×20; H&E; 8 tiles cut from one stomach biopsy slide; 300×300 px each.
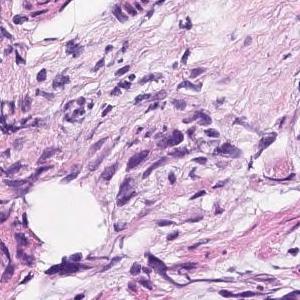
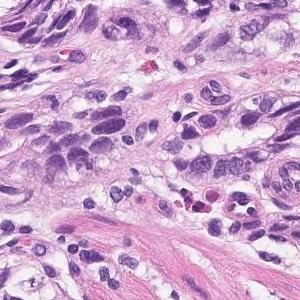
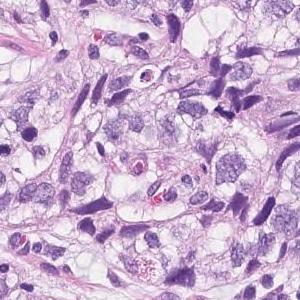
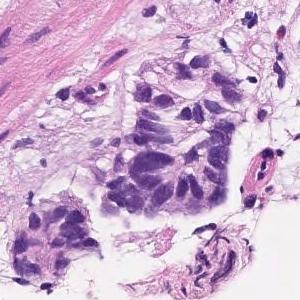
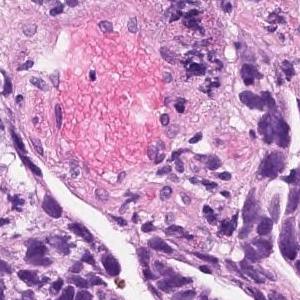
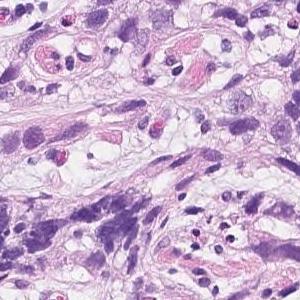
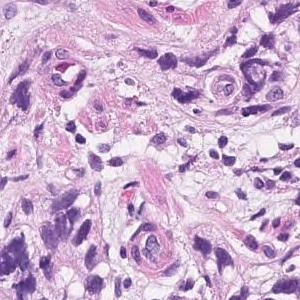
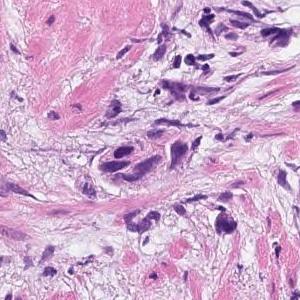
Pathology report for the slide these tiles were cut from. The findings and the diagnosis refer to the entire slide; these tiles show only part of it, possibly with non-tumor tissue, and may not show every feature named.
In the superficial epithelium, tumor tissue that invades by forming medium-sized to small, irregular ducts is observed. Moderately differentiated adenocarcinoma.
Histological subtype: Moderately differentiated tubular adenocarcinoma.
